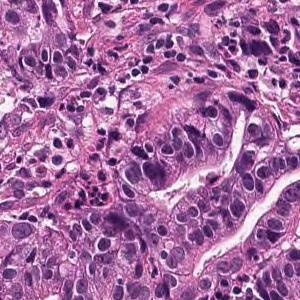
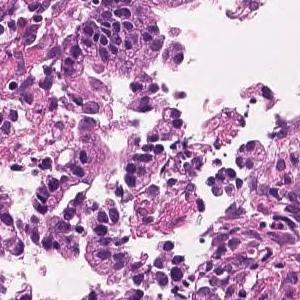
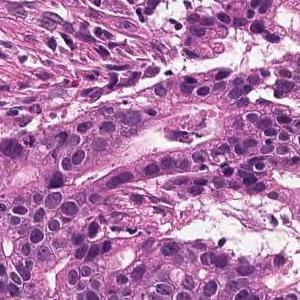
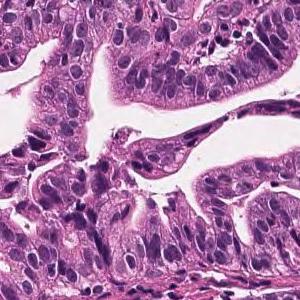
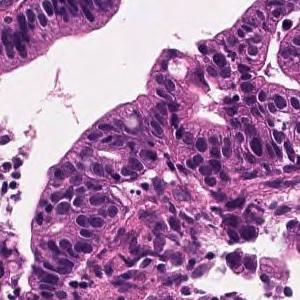
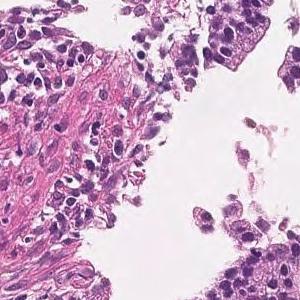
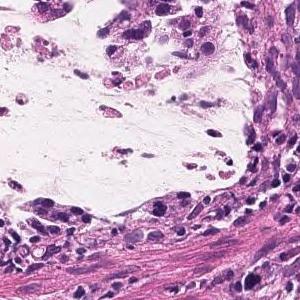
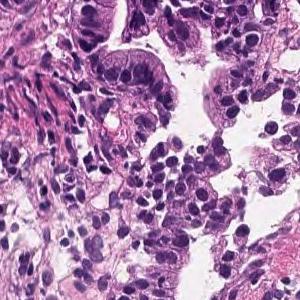
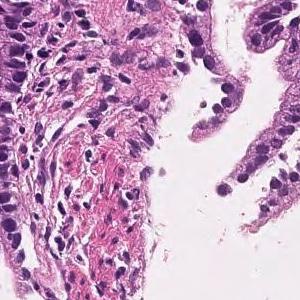
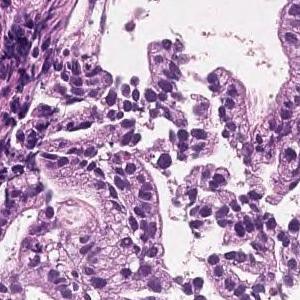
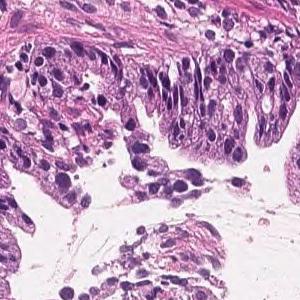
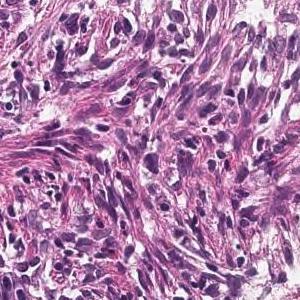
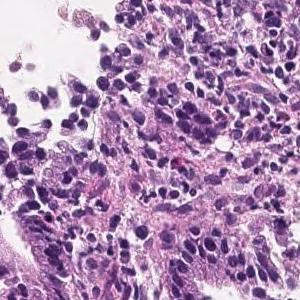
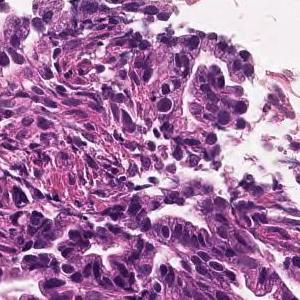
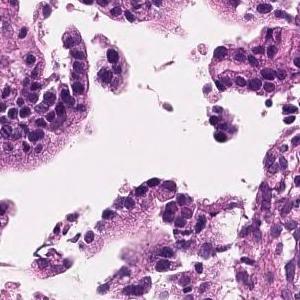
Scanned at ×20 · hematoxylin and eosin stain · 15 image tiles from a single gastric biopsy slide · each 300 × 300 pixels.
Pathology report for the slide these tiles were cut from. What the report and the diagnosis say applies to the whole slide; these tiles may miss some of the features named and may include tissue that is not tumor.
Tumor cells are large, highly columnar, large club-shaped nuclei, and are associated with chromatin aggregation. Papillary adenocarcinoma.
